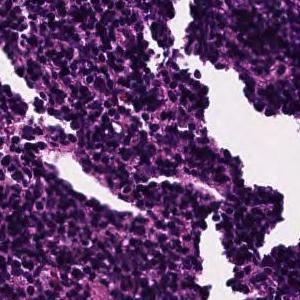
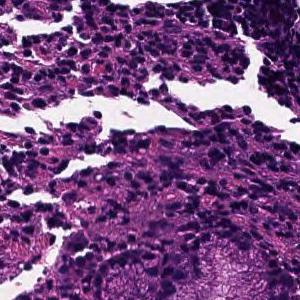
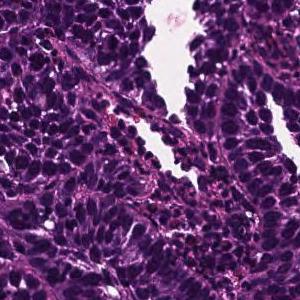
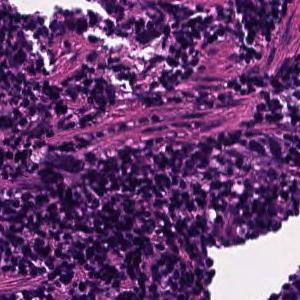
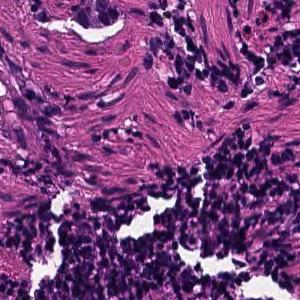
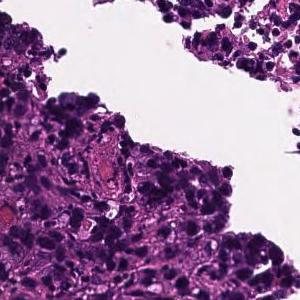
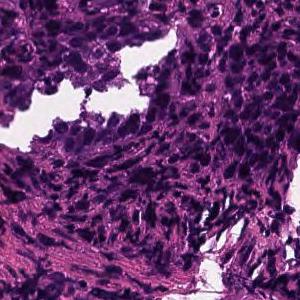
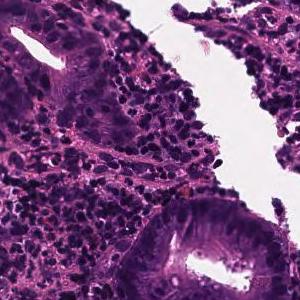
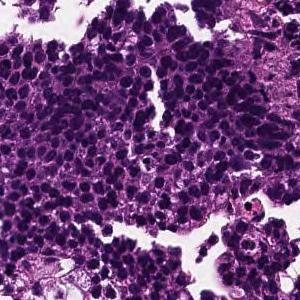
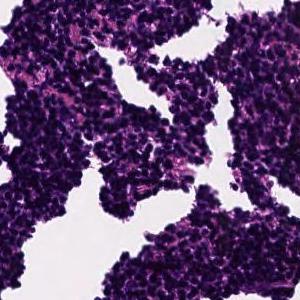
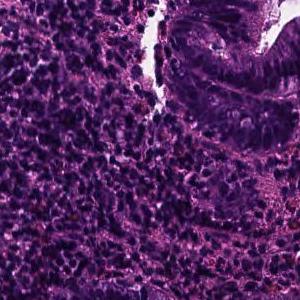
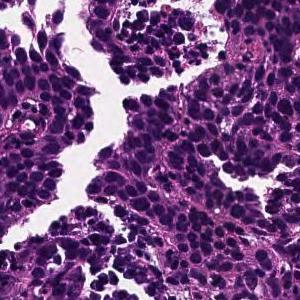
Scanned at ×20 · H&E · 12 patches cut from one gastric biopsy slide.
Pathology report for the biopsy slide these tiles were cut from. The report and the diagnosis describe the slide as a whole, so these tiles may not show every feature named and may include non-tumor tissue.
Tumor tissue consisting of cord-like or small, irregular glandular ducts fused and infiltrated is observed in the superficial epithelium. Poorly differentiated adenocarcinoma, non-solid type
The term "non-solid type" comes from the Japanese Classification of Gastric Carcinoma.
